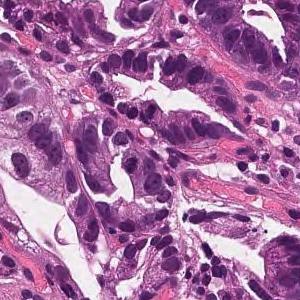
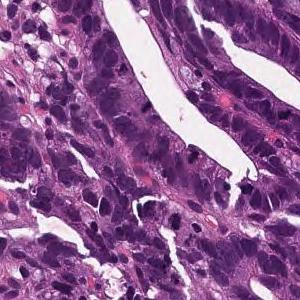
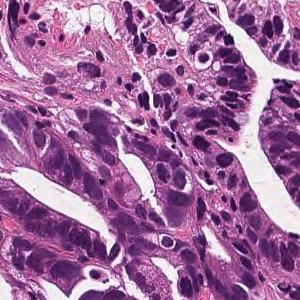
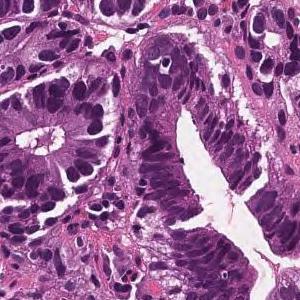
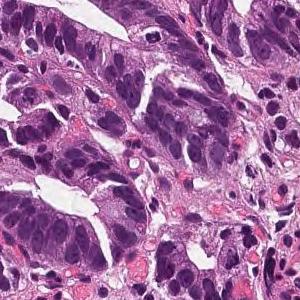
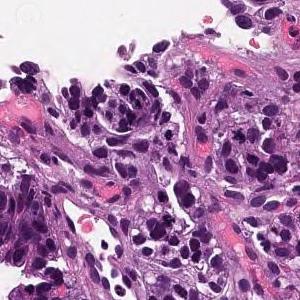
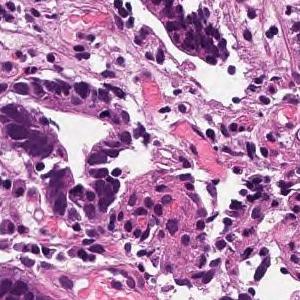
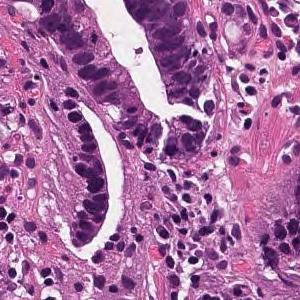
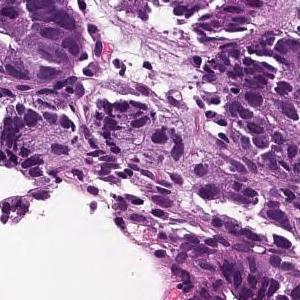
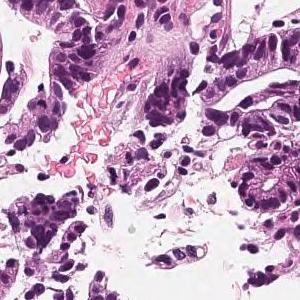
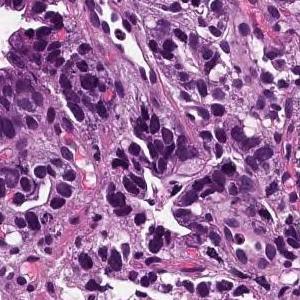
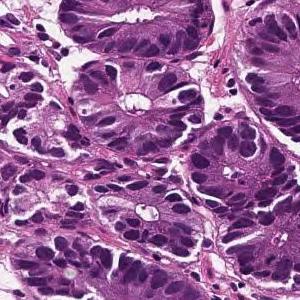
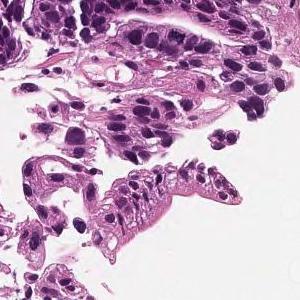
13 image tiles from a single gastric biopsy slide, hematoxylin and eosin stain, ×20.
Pathology report for the slide these tiles were cut from. The report and the diagnosis cover the entire slide, so not every feature they name need be visible here, and some tissue shown may not be tumor.
From the superficial epithelium to the muscularis mucosae, tumor tissue consisting of medium-sized and irregular glandular ducts infiltrating is observed. Well differentiated tubular adenocarcinoma
